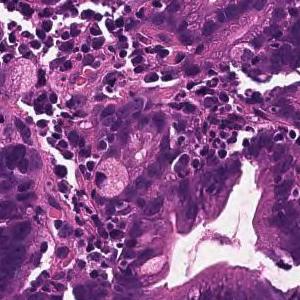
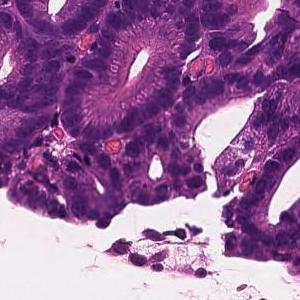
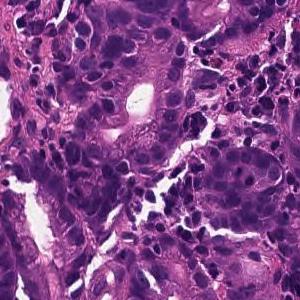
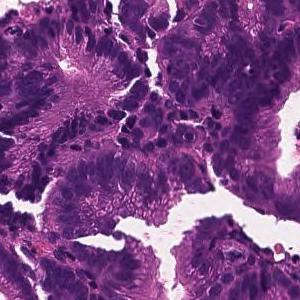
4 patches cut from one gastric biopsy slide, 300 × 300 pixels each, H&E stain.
The pathologist's report on the biopsy slide these tiles were taken from. Both the report and the diagnosis are for the whole slide: these tiles need not show every feature named, and some of the tissue shown may not be tumor.
From the superficial epithelium to the muscularis mucosae, tumor tissue that invades by forming medium-sized irregular gland ducts is observed. Well differentiated tubular adenocarcinoma
